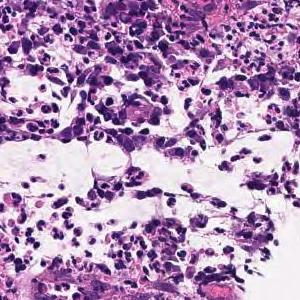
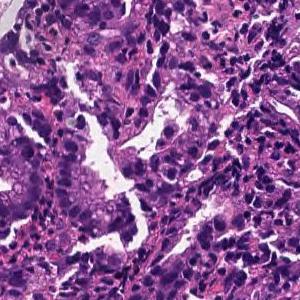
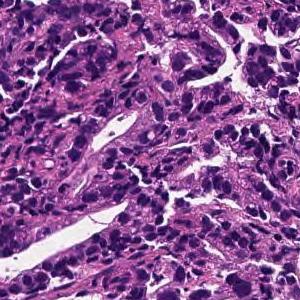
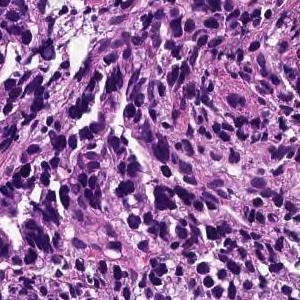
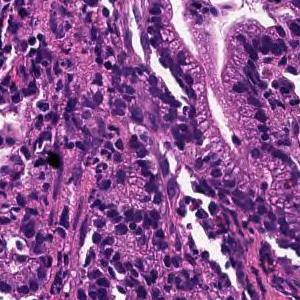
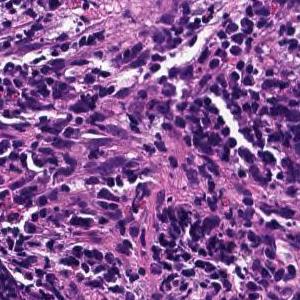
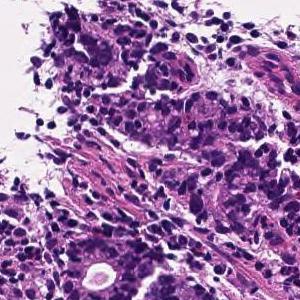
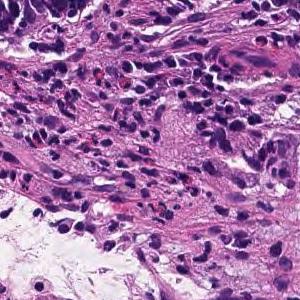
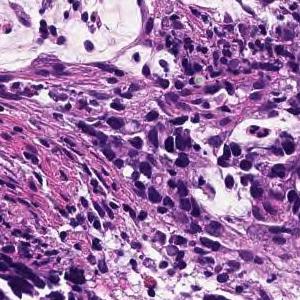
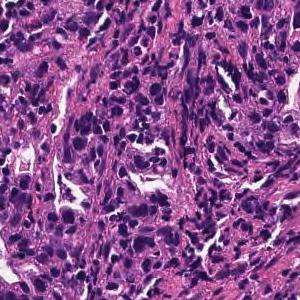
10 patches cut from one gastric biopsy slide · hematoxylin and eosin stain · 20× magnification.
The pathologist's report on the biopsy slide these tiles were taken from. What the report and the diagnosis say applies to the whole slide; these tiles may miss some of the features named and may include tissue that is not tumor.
On the superficial epithelium, tumor tissue consisting of large, irregular glandular ducts partially fused and infiltrated is observed. Well to moderately differentiated tubular adenocarcinoma (well differentiated tubular adenocarcinoma, moderately differentiated tubular adenocarcinoma)
Tumor subtype: well to moderately differentiated tubular adenocarcinoma.
